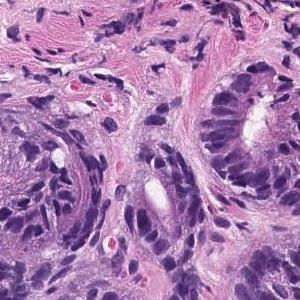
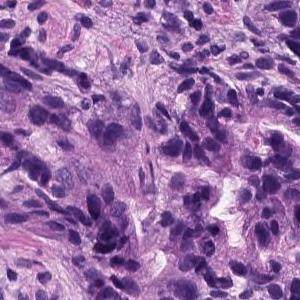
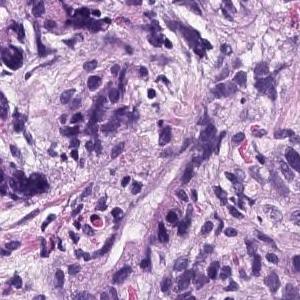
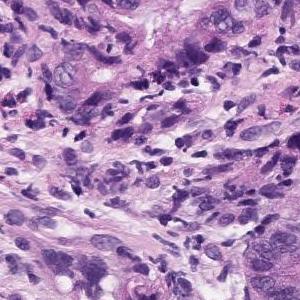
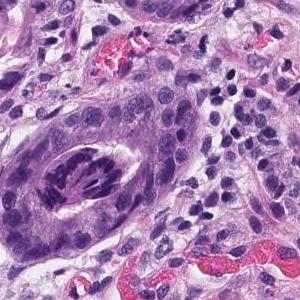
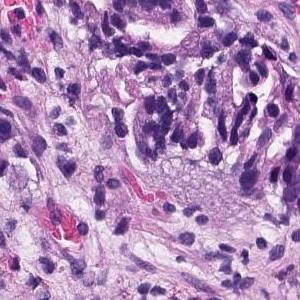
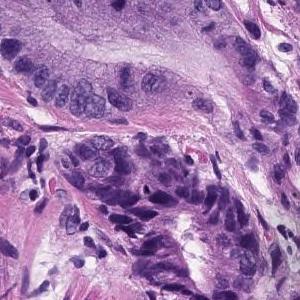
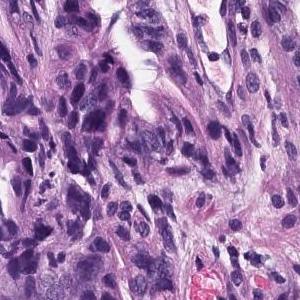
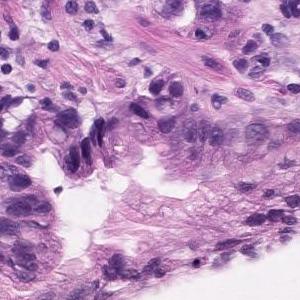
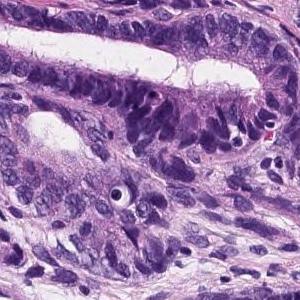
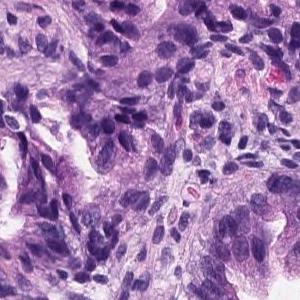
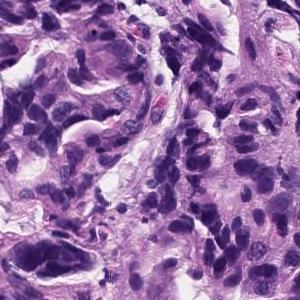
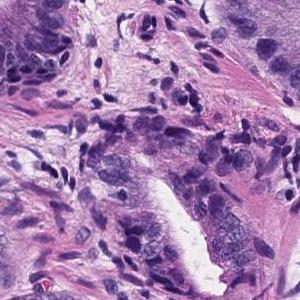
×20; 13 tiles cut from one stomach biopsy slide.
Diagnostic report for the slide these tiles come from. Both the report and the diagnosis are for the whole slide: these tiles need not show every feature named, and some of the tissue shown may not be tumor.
In the superficial epithelium, tumor tissue that invades by forming medium-sized to small, irregular ducts is observed. Moderately differentiated adenocarcinoma.
Subtype: Moderately differentiated tubular adenocarcinoma.
